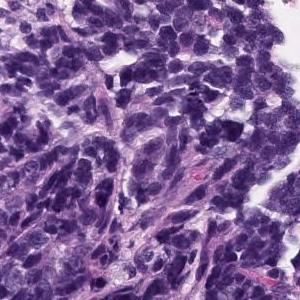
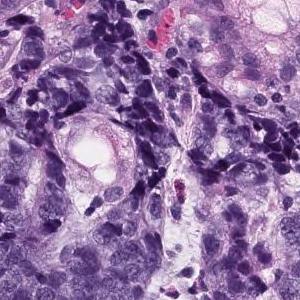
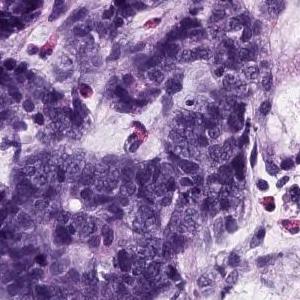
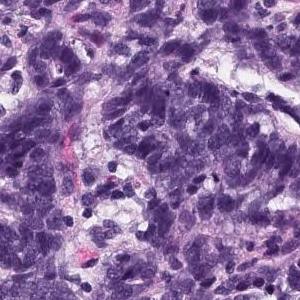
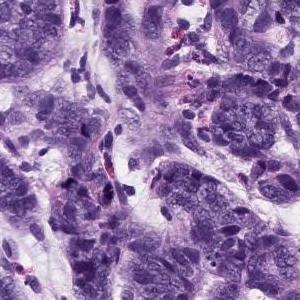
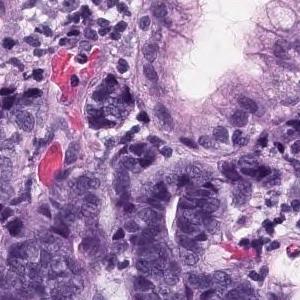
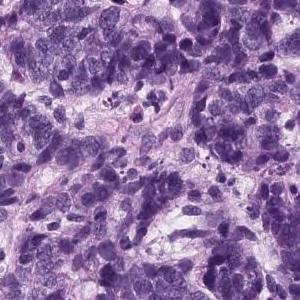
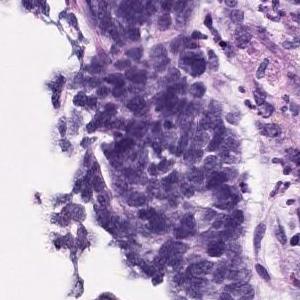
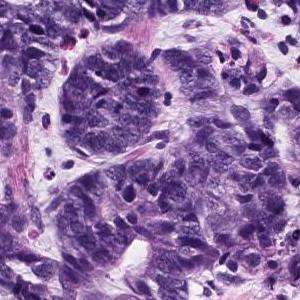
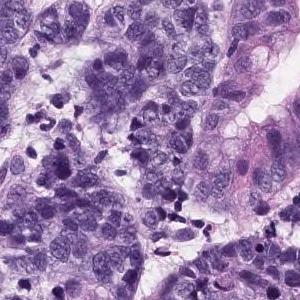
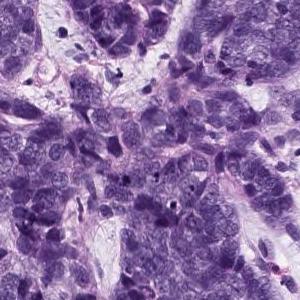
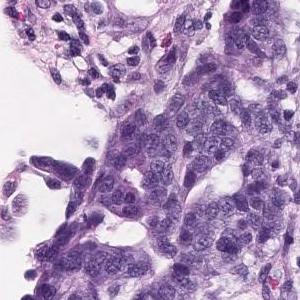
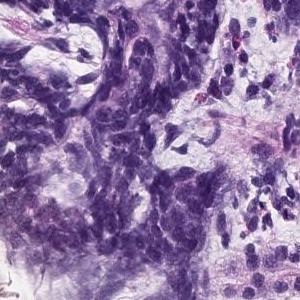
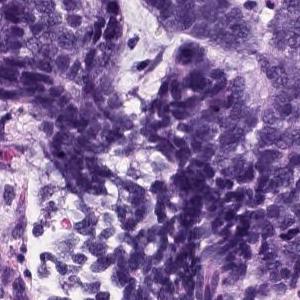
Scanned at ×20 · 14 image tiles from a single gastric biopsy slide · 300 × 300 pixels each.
The pathologist's report on the biopsy slide these tiles were taken from. The report describes the whole slide, diagnosis included: not every finding it names need appear in these tiles, which may also show non-tumor tissue.
Group 5, Adenocarcinoma. Moderately to poorly differentiated adenocarcinoma
